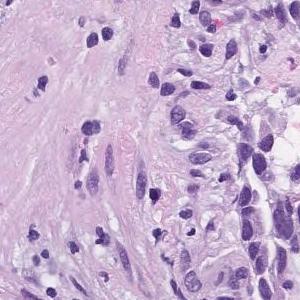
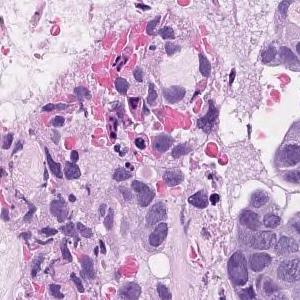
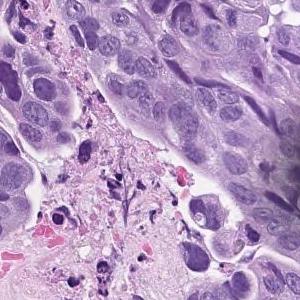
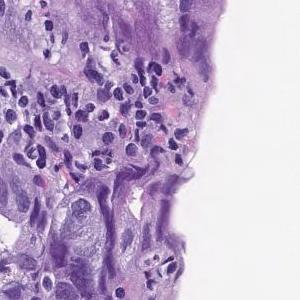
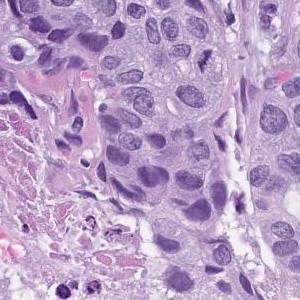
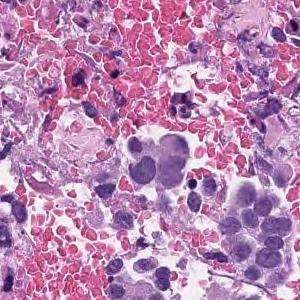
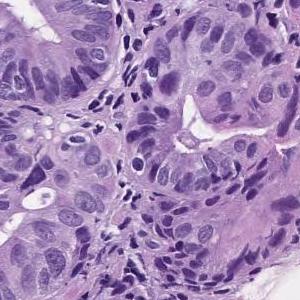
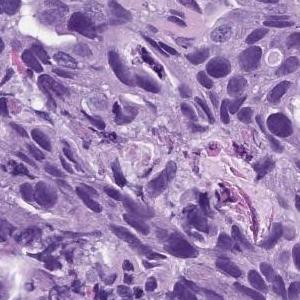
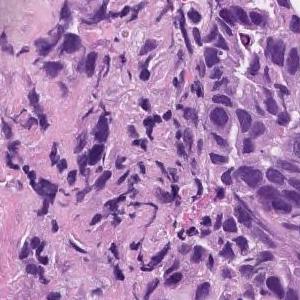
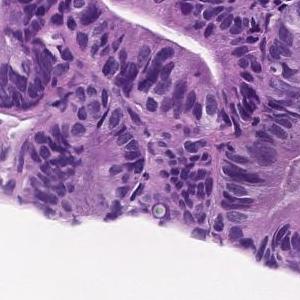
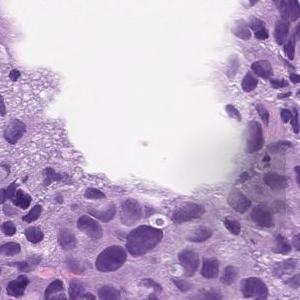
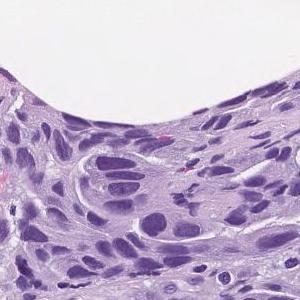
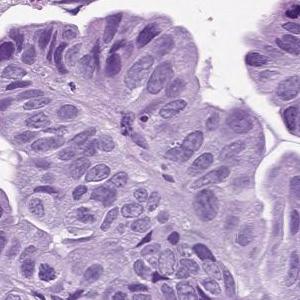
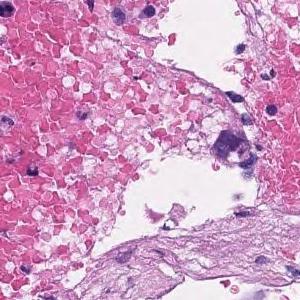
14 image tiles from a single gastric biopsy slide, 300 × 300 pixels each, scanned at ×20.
Pathology report for the slide these tiles were cut from. The report and the diagnosis describe the slide as a whole, so these tiles may not show every feature named and may include non-tumor tissue.
In the superficial epithelium, tumor tissue that invades by forming medium-sized to small, irregular ducts is observed. moderately differentiated tubular adenocarcinoma.
